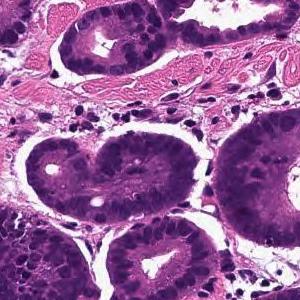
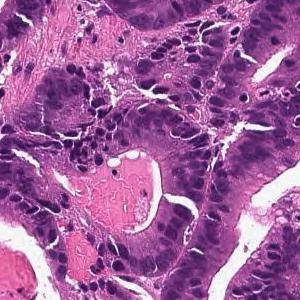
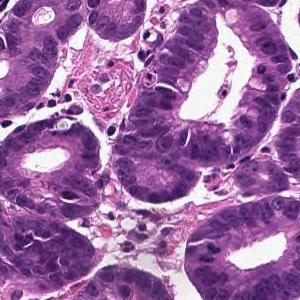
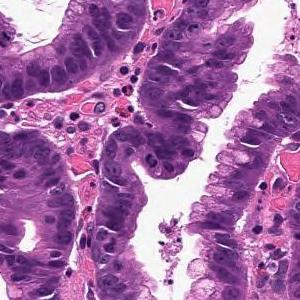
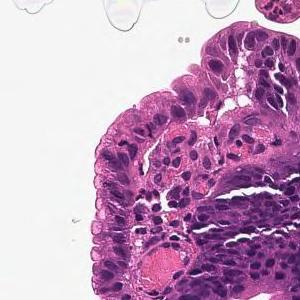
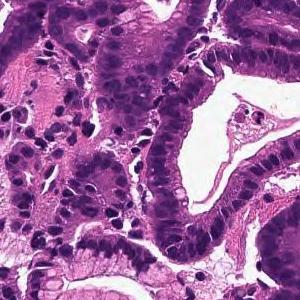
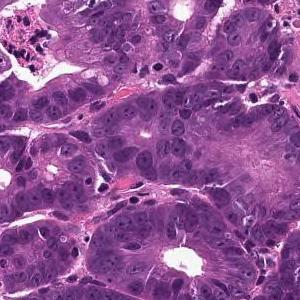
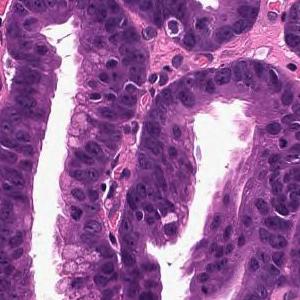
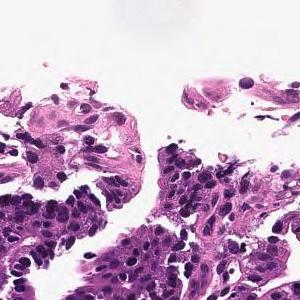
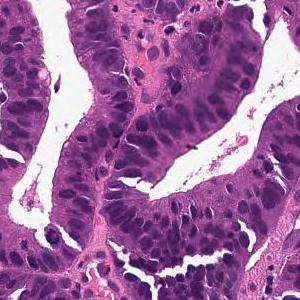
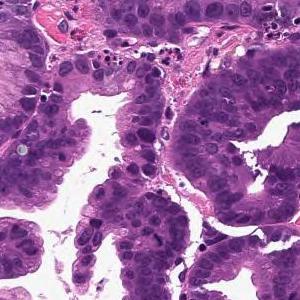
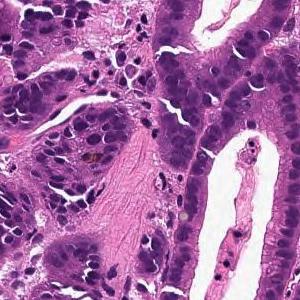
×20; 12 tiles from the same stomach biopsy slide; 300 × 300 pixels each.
Pathology report for the biopsy slide these tiles were cut from. The report and the diagnosis describe the slide as a whole, so these tiles may not show every feature named and may include non-tumor tissue.
From the superficial epithelium to the muscularis mucosae, tumor tissue consisting of medium-sized and irregular glandular ducts infiltrating is observed. Well differentiated tubular adenocarcinoma
